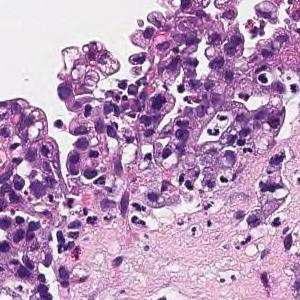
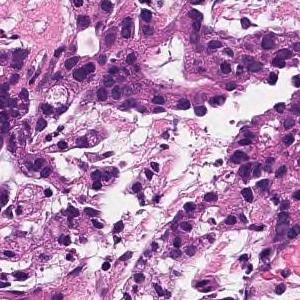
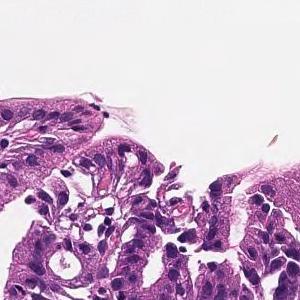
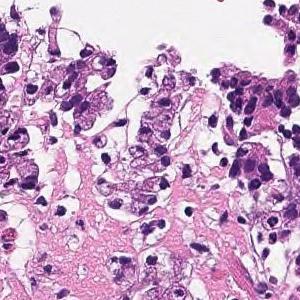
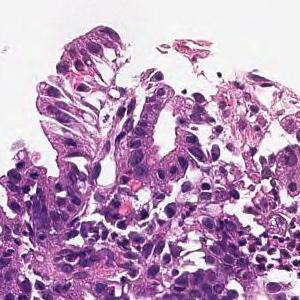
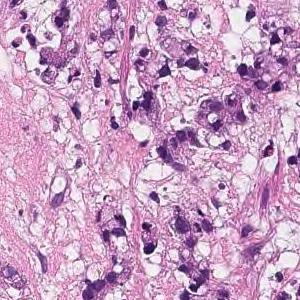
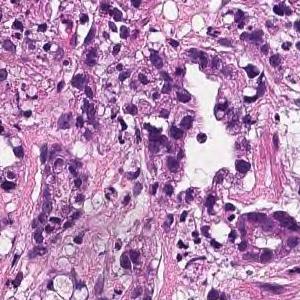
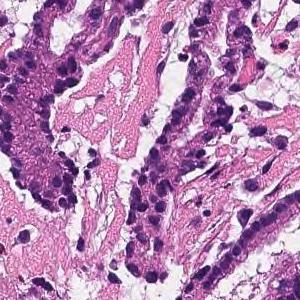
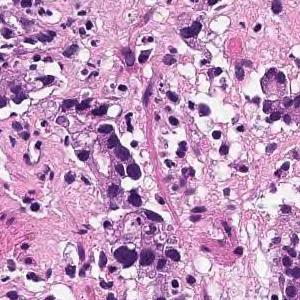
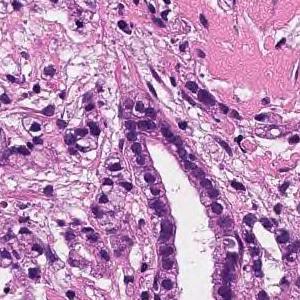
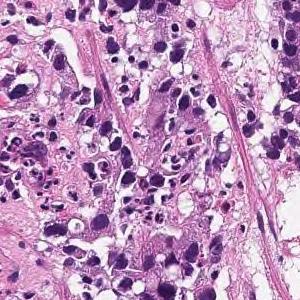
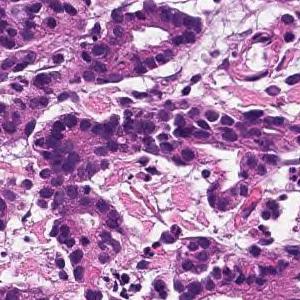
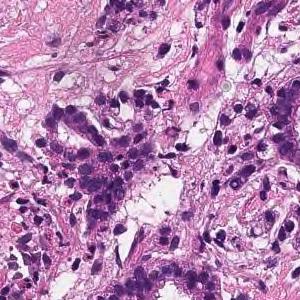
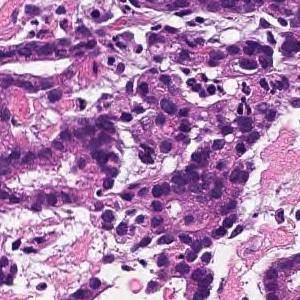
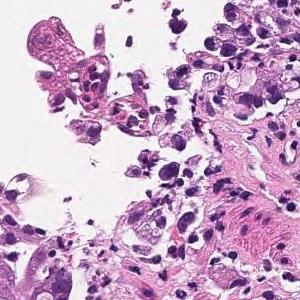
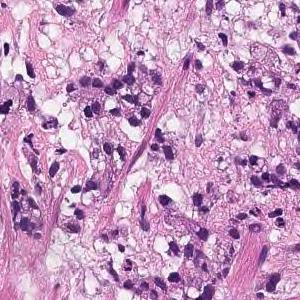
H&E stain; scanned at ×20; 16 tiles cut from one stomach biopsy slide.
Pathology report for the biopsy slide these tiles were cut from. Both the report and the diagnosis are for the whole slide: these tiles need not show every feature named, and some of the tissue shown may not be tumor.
In the superficial epithelium, tumor tissue that invades by forming medium-sized to small, irregular ducts is observed. moderately differentiated tubular adenocarcinoma.
